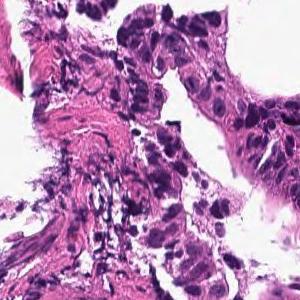
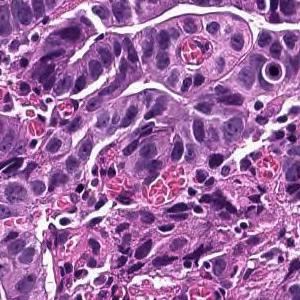
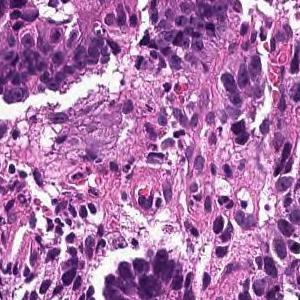
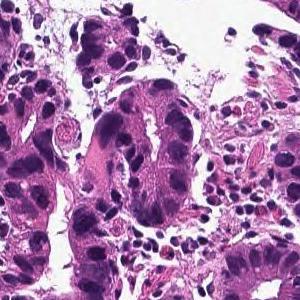
4 tiles from the same stomach biopsy slide; 300 × 300 pixels each.
Pathology report for the biopsy slide these tiles were cut from. The report and the diagnosis cover the entire slide, so not every feature they name need be visible here, and some tissue shown may not be tumor.
On the superficial epithelium, tumor tissue consisting of large, irregular glandular ducts partially fused and infiltrated is observed. Well to moderately differentiated tubular adenocarcinoma (well differentiated tubular adenocarcinoma, moderately differentiated tubular adenocarcinoma)
Classified as well to moderately differentiated tubular adenocarcinoma.
